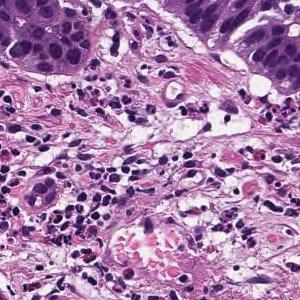
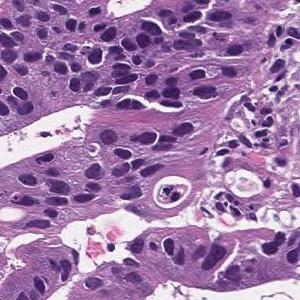
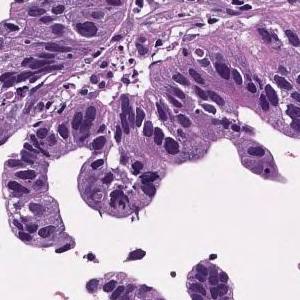
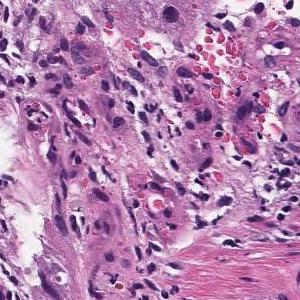
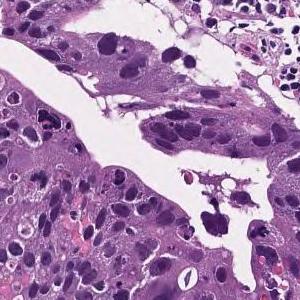
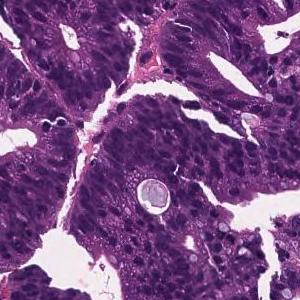
6 tiles cut from one stomach biopsy slide · each 300 × 300 pixels · 20× magnification · hematoxylin and eosin stain.
The pathologist's report on the biopsy slide these tiles were taken from. The report and the diagnosis cover the entire slide, so not every feature they name need be visible here, and some tissue shown may not be tumor.
Tumor cells are large, highly columnar, large club-shaped nuclei, and are associated with chromatin aggregation. Papillary adenocarcinoma.
